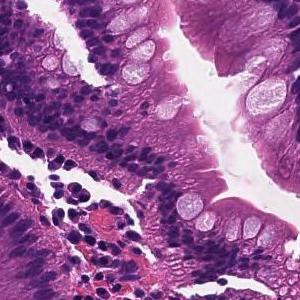
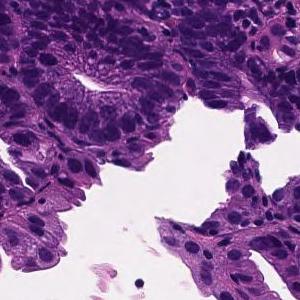
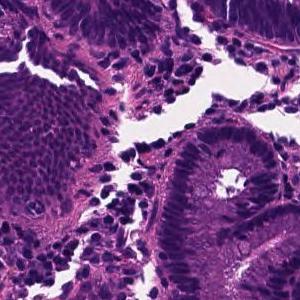
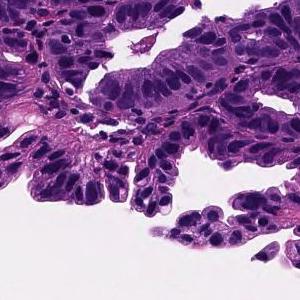
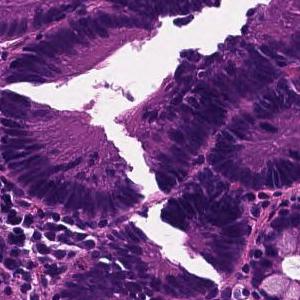
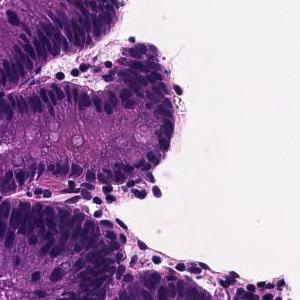
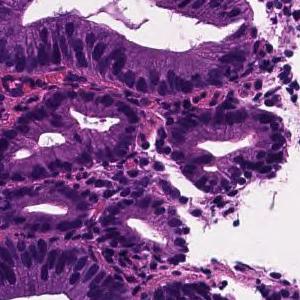
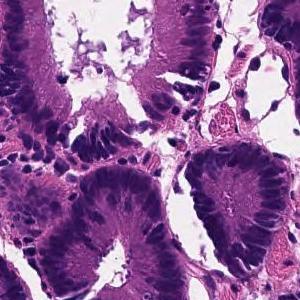
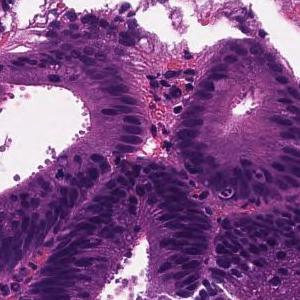
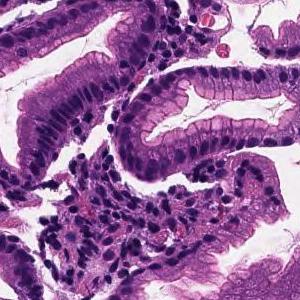
Scanned at ×20 · 10 tiles cut from one stomach biopsy slide.
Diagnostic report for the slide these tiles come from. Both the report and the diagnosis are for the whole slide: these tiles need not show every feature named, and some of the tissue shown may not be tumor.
Tumor tissue in which medium to small irregular ducts infiltrate and proliferate in the submucosa can be seen in the epithelium. Well differentiated tubular adenocarcinoma
